15 tiles from the same stomach biopsy slide, ×20, H&E.
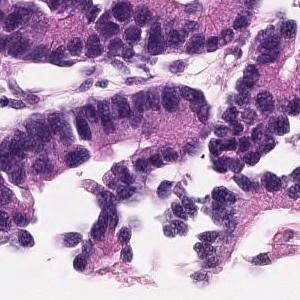
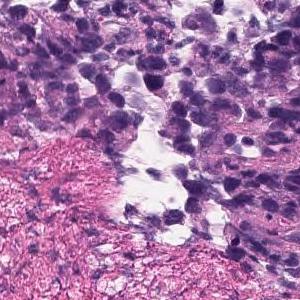
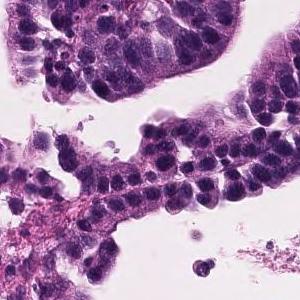
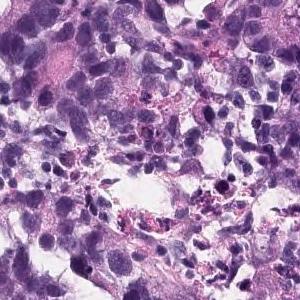
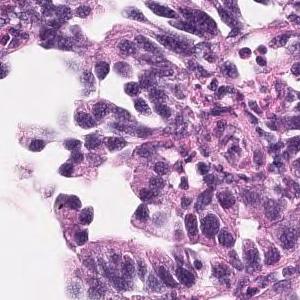
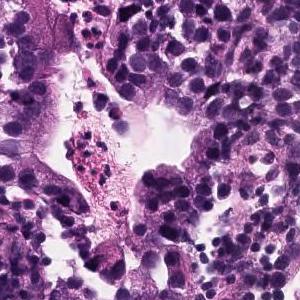
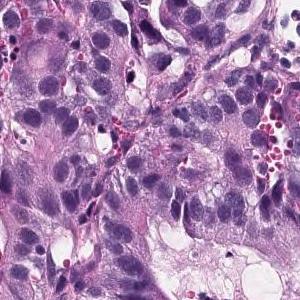
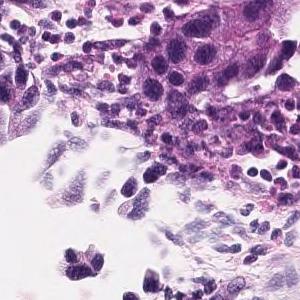
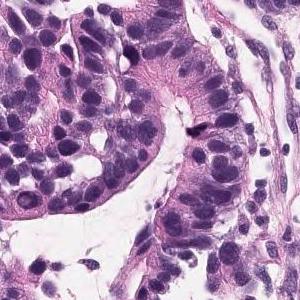
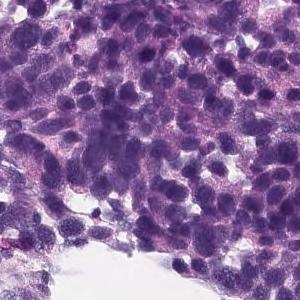
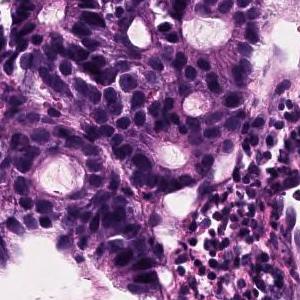
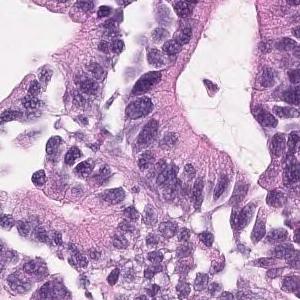
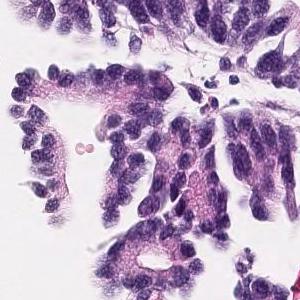
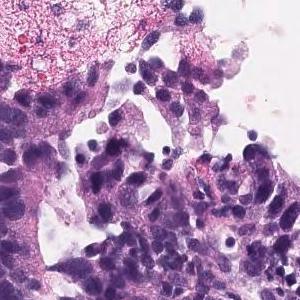
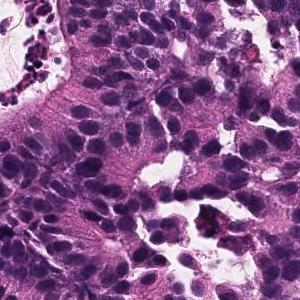
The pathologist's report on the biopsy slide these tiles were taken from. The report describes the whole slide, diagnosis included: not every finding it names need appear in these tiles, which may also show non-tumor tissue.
In the superficial epithelium, tumor tissue that invades by forming medium-sized to small, irregular ducts is observed. moderately differentiated tubular adenocarcinoma.
